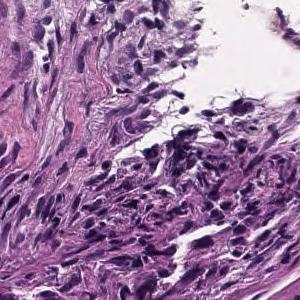
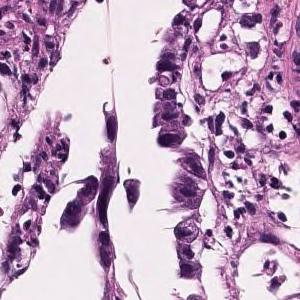
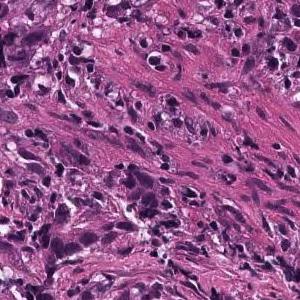
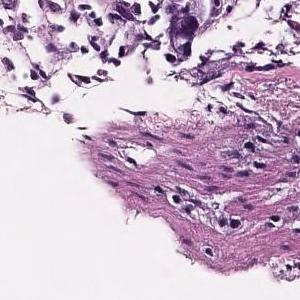
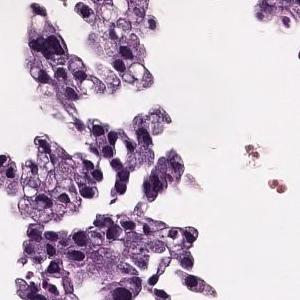
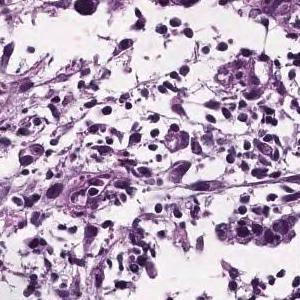
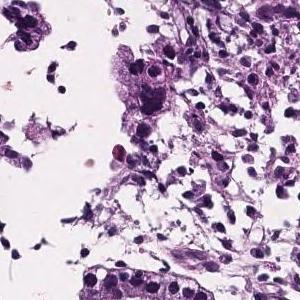
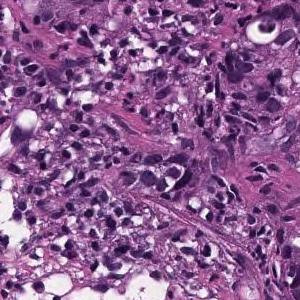
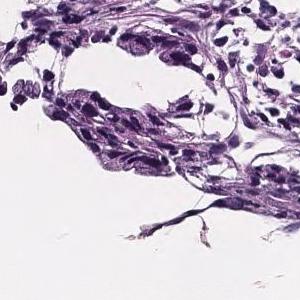
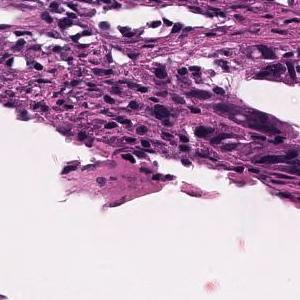
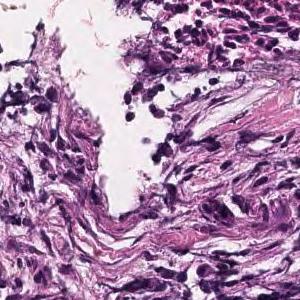
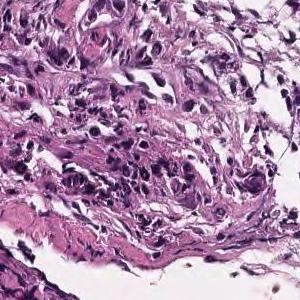
×20; 12 image tiles from a single gastric biopsy slide; 300×300 px each.
Report on the slide these tiles come from. What the report and the diagnosis say applies to the whole slide; these tiles may miss some of the features named and may include tissue that is not tumor.
In the superficial epithelium, tumor tissue that invades by forming medium-sized to small, irregular ducts is observed. moderately differentiated tubular adenocarcinoma.
